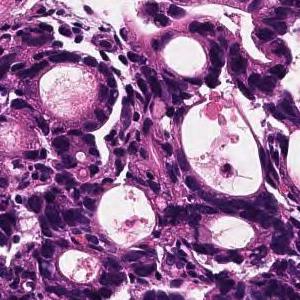
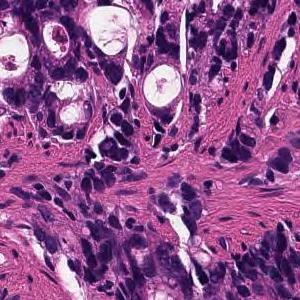
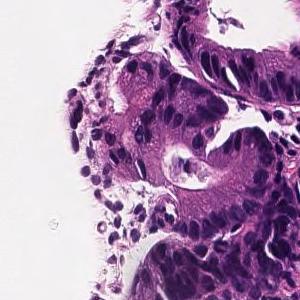
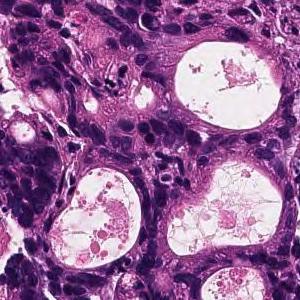
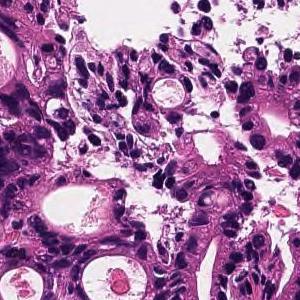
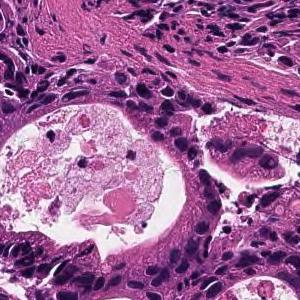
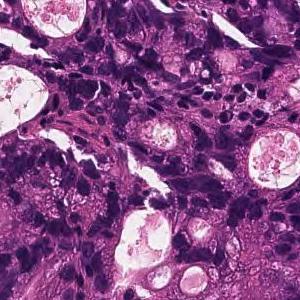
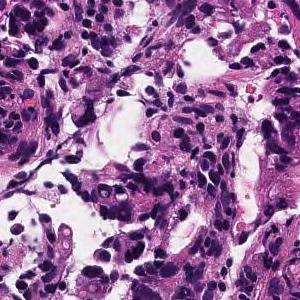
8 tiles from the same stomach biopsy slide · 300×300 px each · ×20 · H&E.
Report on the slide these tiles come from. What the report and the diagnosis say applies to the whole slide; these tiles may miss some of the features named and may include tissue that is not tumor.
In the superficial epithelium, tumor tissue that invades by forming medium-sized to small, irregular ducts is observed. moderately differentiated tubular adenocarcinoma.
